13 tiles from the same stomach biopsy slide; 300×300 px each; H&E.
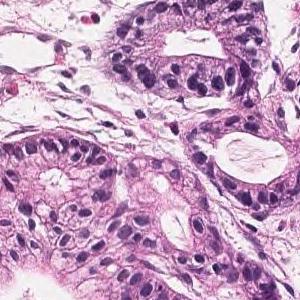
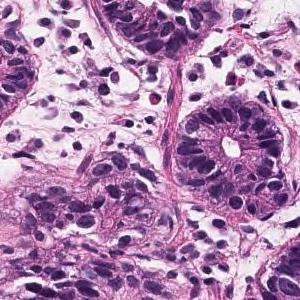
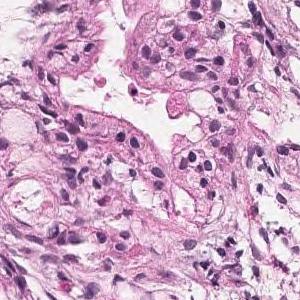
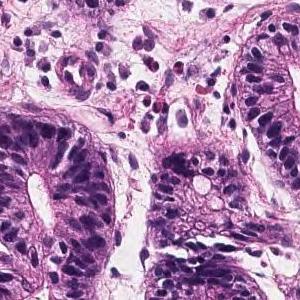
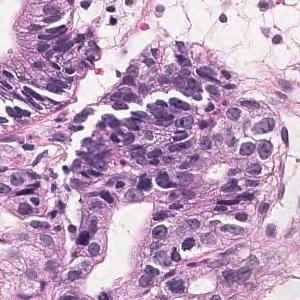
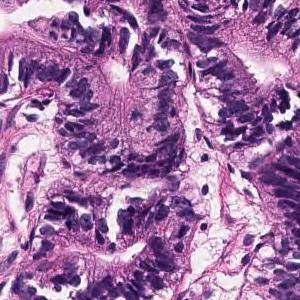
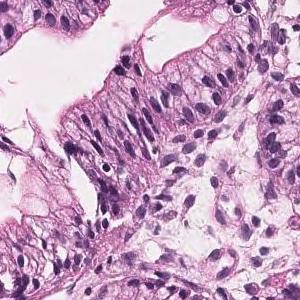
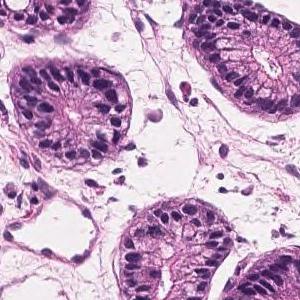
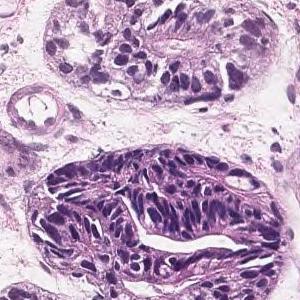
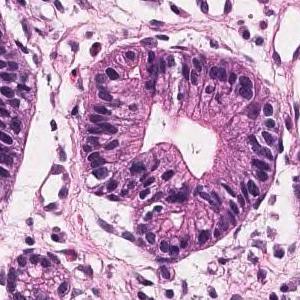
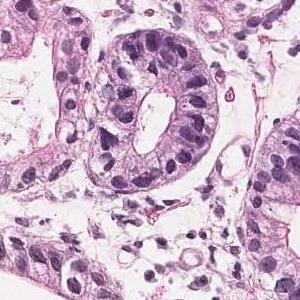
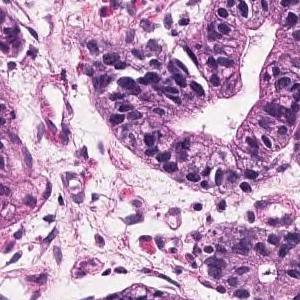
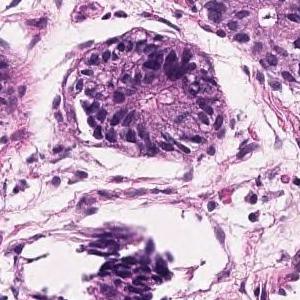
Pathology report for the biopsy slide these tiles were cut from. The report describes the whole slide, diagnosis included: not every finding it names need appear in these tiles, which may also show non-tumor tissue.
Tumor tissue in which medium to small irregular ducts infiltrate and proliferate in the submucosa can be seen in the epithelium. Well differentiated tubular adenocarcinoma
